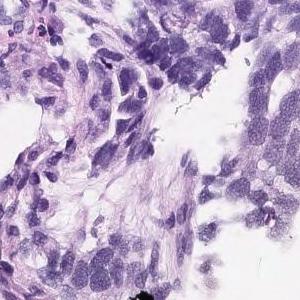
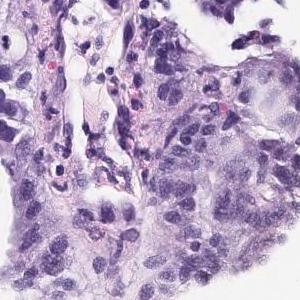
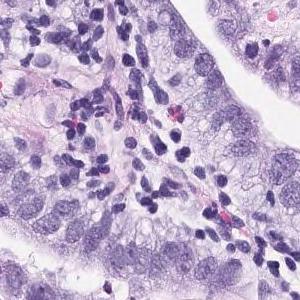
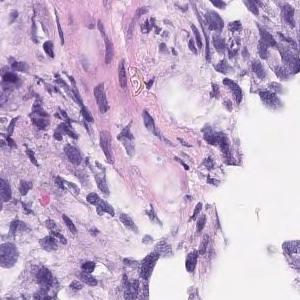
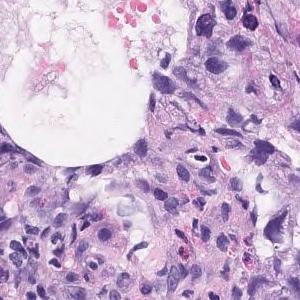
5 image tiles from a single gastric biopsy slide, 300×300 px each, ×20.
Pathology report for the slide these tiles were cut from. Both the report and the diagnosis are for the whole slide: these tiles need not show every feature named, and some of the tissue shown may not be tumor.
In the superficial epithelium, tumor tissue that invades by forming medium-sized to small, irregular ducts is observed. Moderately differentiated adenocarcinoma.
Tumor subtype: moderately differentiated tubular adenocarcinoma.
